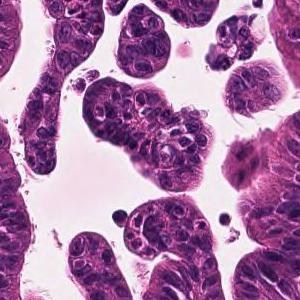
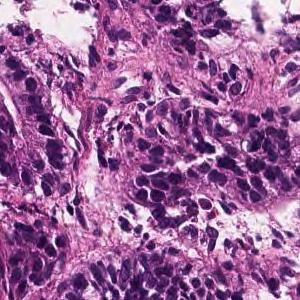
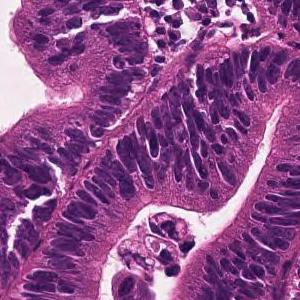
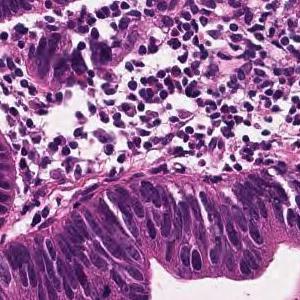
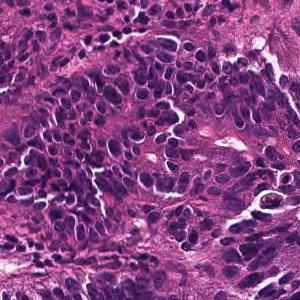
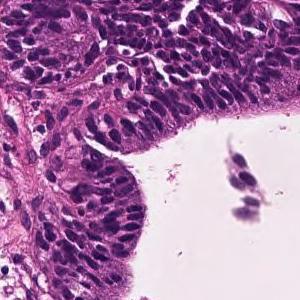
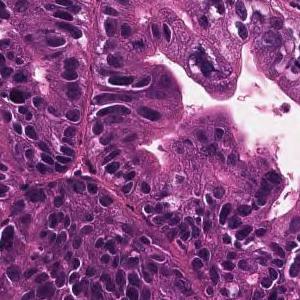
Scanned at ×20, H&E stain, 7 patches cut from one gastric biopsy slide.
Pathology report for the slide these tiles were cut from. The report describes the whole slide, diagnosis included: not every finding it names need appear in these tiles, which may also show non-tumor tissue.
A large irregular tubular structure is exhibited in the epithelium, and tumor tissue that partially fuses and infiltrates and proliferates is observed. Large columnar tumor cells exhibit enlarged nucleus, hyperchromatism, and mitotic figures. Well differentiated tubular adenocarcinoma
